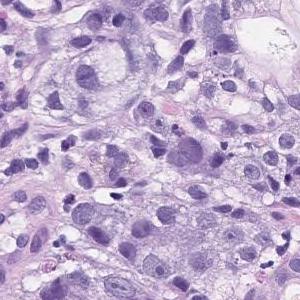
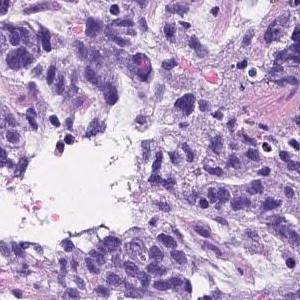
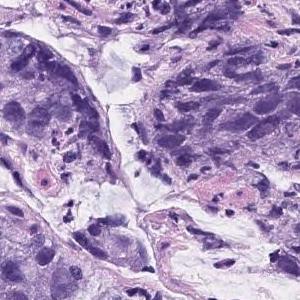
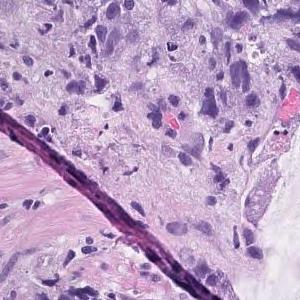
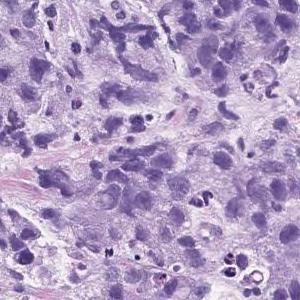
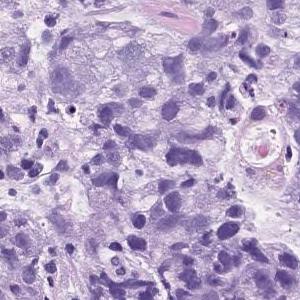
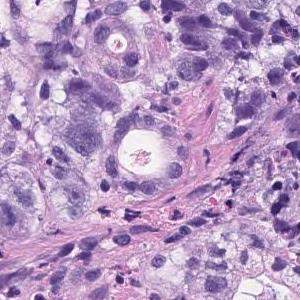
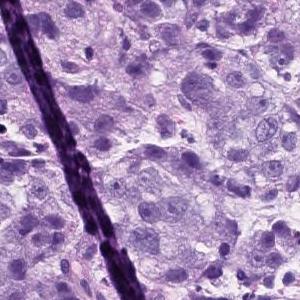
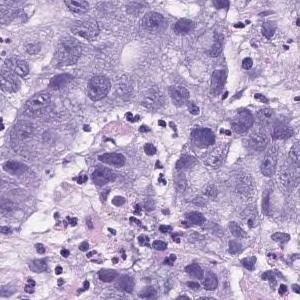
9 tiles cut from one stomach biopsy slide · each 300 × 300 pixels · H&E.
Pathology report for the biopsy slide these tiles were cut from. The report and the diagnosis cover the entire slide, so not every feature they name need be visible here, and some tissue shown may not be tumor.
Atypical l cells with atypical nuclei forming solid vesicles or small irregular atypical ducts that proliferate in a complex manner. poorly differentiated adenocarcinoma, solid type, moderately differentiated tubular adenocarcinoma
"Solid type" is a category of the Japanese Classification of Gastric Carcinoma; in the WHO 2019 classification it is tubular adenocarcinoma, poorly differentiated.
